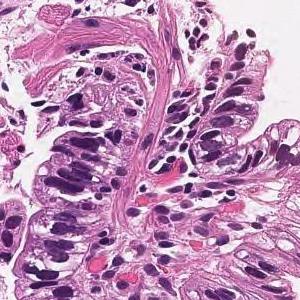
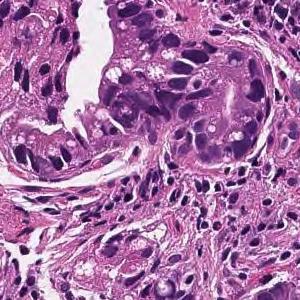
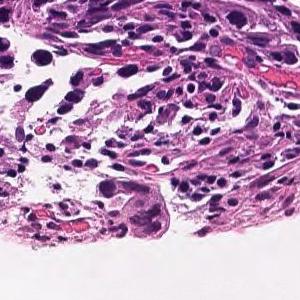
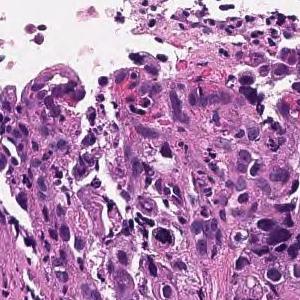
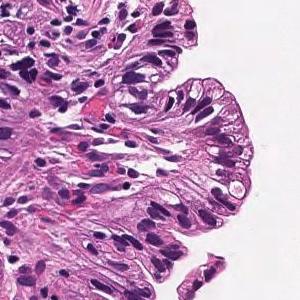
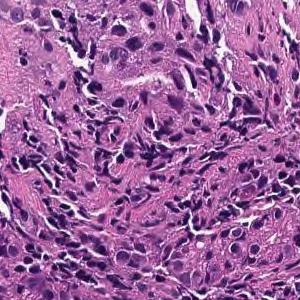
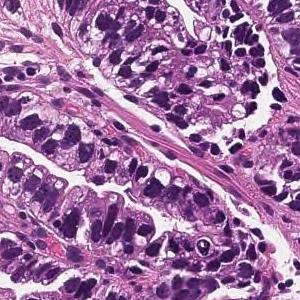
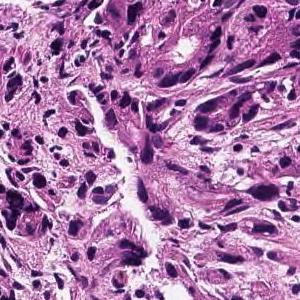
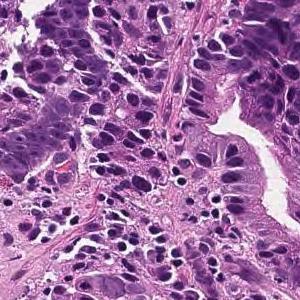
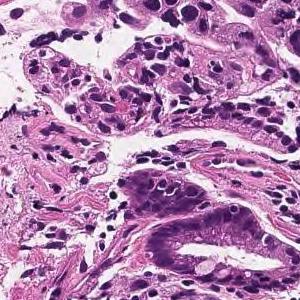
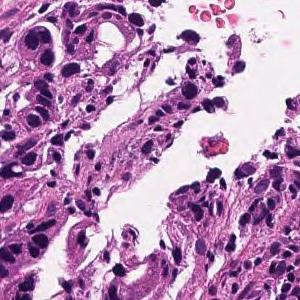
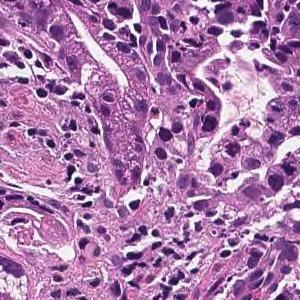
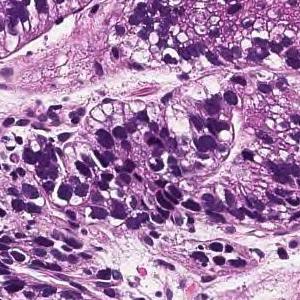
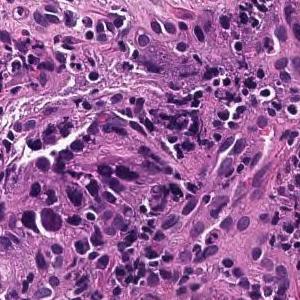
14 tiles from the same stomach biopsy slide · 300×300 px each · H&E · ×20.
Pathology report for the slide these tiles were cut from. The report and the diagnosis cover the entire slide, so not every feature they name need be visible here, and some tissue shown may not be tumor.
On the superficial epithelium, tumor tissue is found in which medium-sized irregular gland ducts fuse with each other and infiltrate. moderately differentiated tubular adenocarcinoma or Poorly differentiated adenocarcinoma, non-solid type
Histological subtype: Moderately to poorly differentiated adenocarcinoma.
The non-solid type named here is a Japanese Classification of Gastric Carcinoma category.
